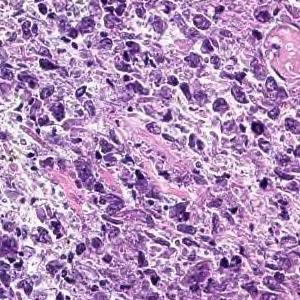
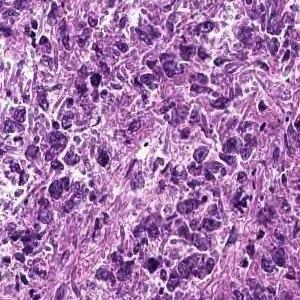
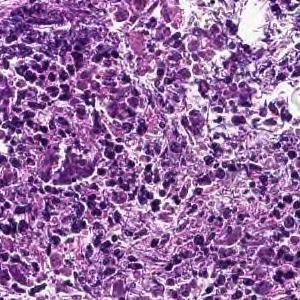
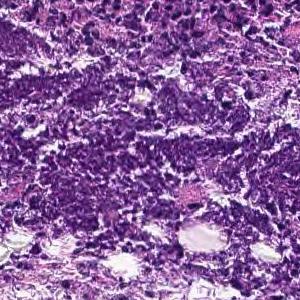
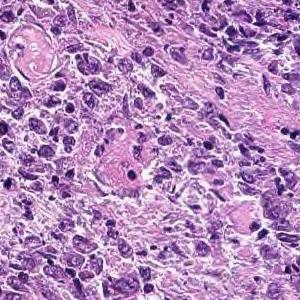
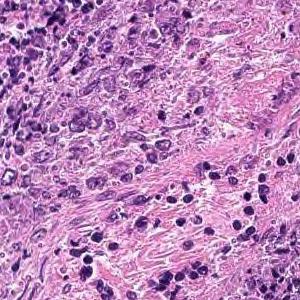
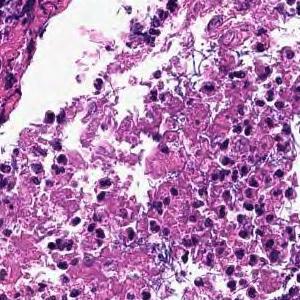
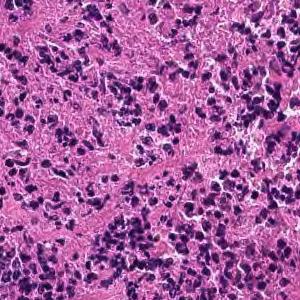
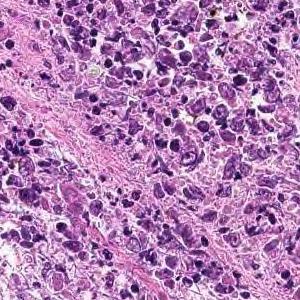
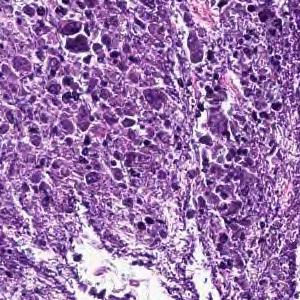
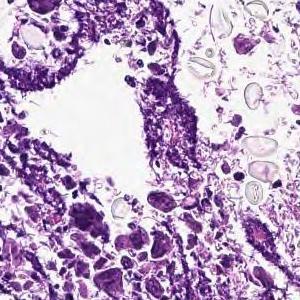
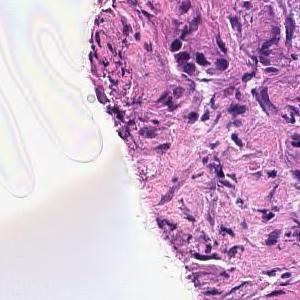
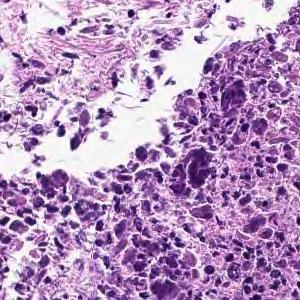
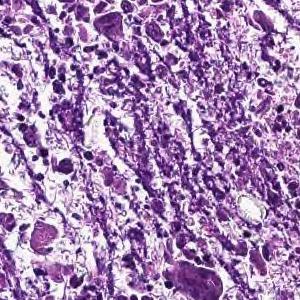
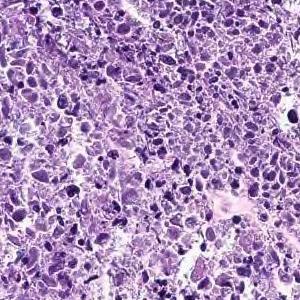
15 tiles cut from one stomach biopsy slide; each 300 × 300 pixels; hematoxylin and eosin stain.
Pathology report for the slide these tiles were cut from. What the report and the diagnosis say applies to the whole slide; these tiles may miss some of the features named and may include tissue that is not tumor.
Cancers with polygonal nuclei do not show glandular formation and are densely, in part, cord-like and proliferate. Poorly differentiated adenocarcinoma
Classified as poorly differentiated adenocarcinoma, non-solid type.
The term "non-solid type" comes from the Japanese Classification of Gastric Carcinoma.
